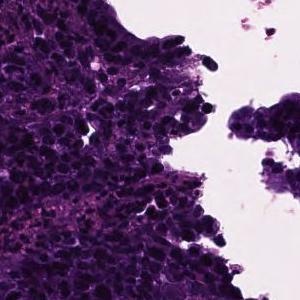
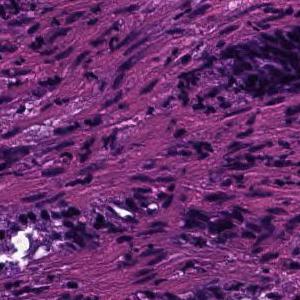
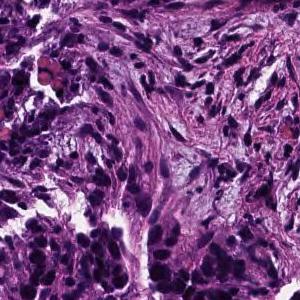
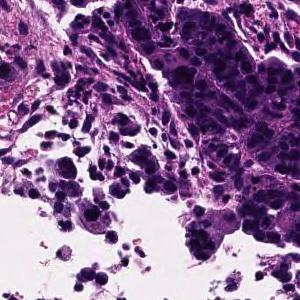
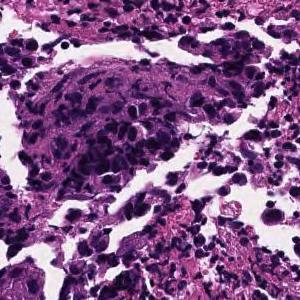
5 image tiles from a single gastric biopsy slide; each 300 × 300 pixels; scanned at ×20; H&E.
Pathology report for the slide these tiles were cut from. The findings and the diagnosis refer to the entire slide; these tiles show only part of it, possibly with non-tumor tissue, and may not show every feature named.
In the superficial epithelium, tumor tissue that invades by forming medium-sized to small, irregular ducts is observed. moderately differentiated tubular adenocarcinoma.
